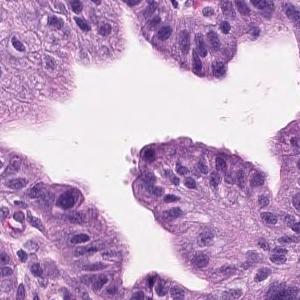
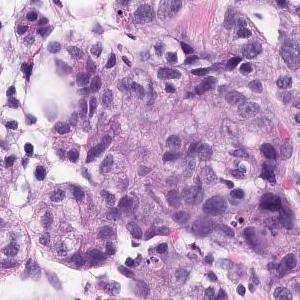
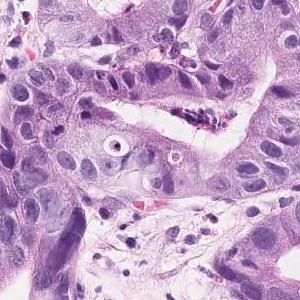
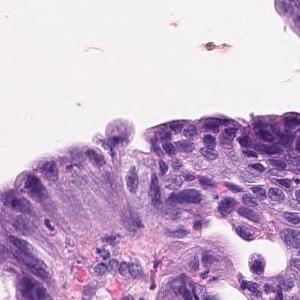
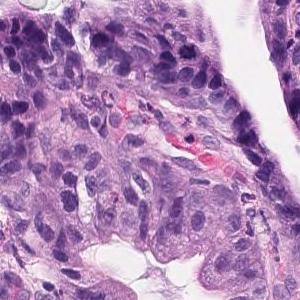
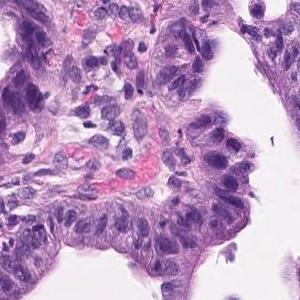
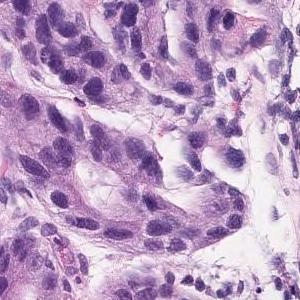
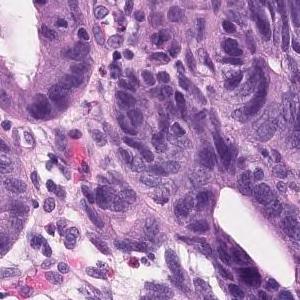
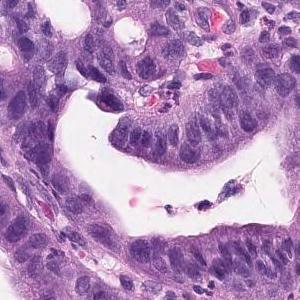
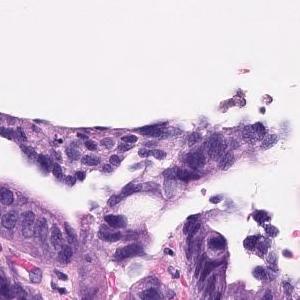
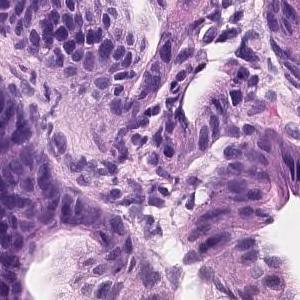
Hematoxylin and eosin stain · 11 patches cut from one gastric biopsy slide · each 300 × 300 pixels.
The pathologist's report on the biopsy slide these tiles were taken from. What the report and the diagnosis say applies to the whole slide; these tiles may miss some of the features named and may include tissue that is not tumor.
On the superficial epithelium, tumor tissue consisting of medium-sized to large-sized, round or irregular glandular duct growth images is observed. Well differentiated adenocarcinoma.
Tumor subtype: well differentiated tubular adenocarcinoma.
